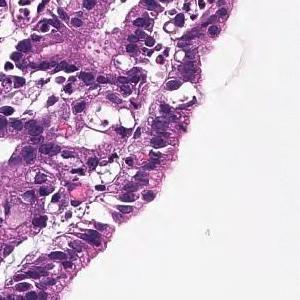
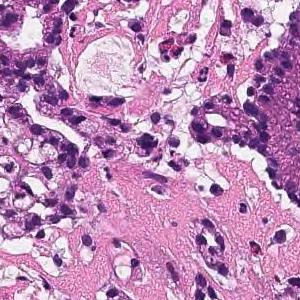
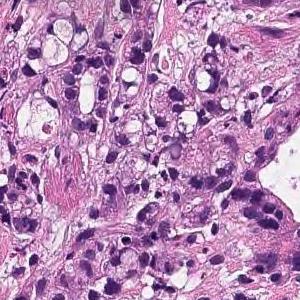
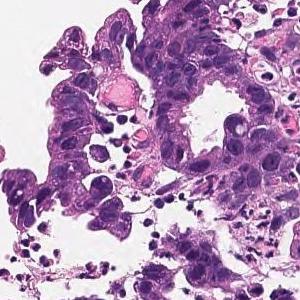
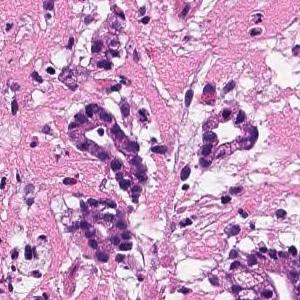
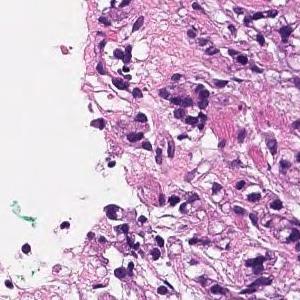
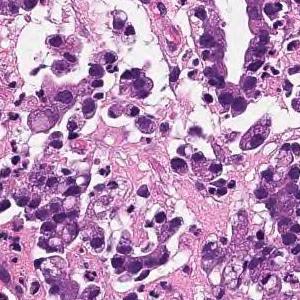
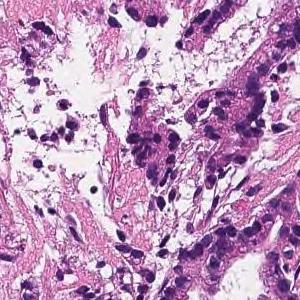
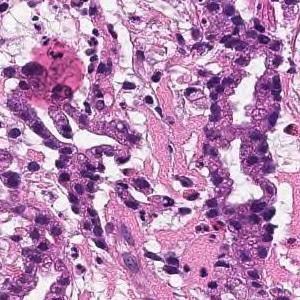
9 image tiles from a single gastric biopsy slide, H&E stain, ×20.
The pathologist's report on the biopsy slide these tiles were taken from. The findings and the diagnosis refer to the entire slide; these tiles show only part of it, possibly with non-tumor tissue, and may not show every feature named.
In the superficial epithelium, tumor tissue that invades by forming medium-sized to small, irregular ducts is observed. moderately differentiated tubular adenocarcinoma.
